14 tiles from the same stomach biopsy slide, H&E.
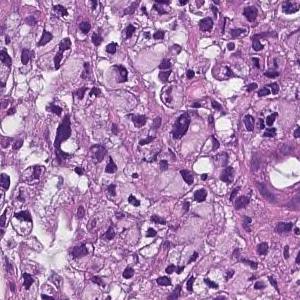
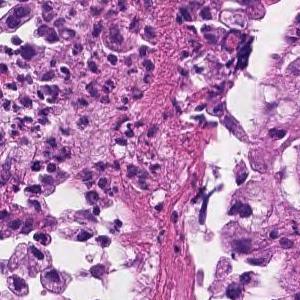
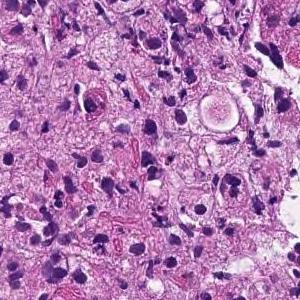
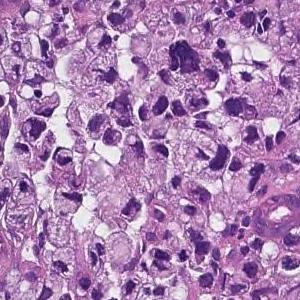
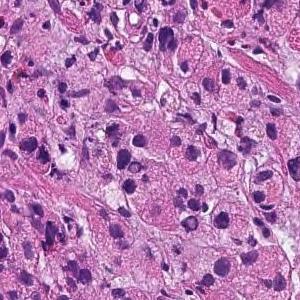
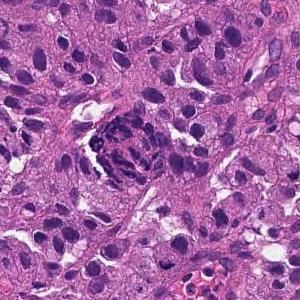
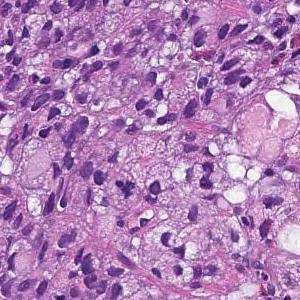
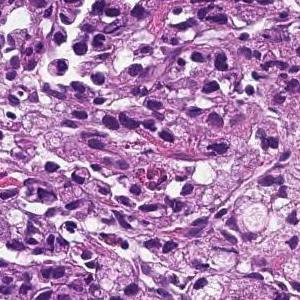
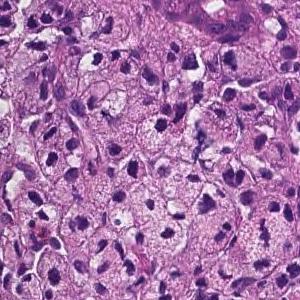
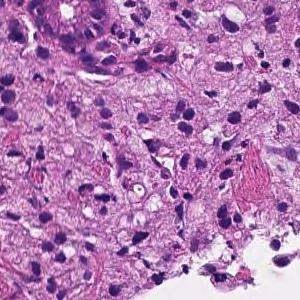
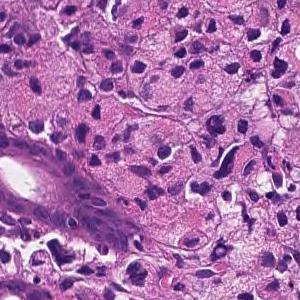
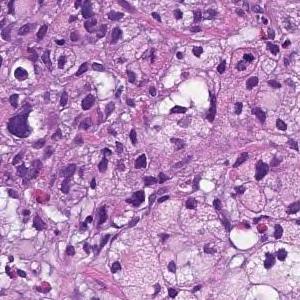
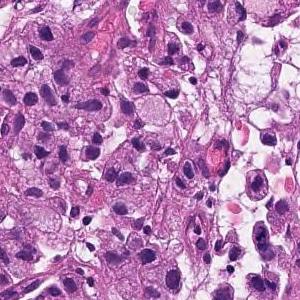
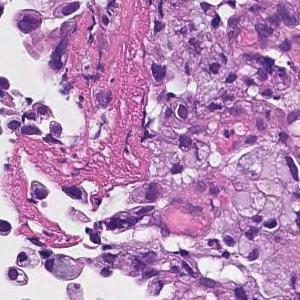
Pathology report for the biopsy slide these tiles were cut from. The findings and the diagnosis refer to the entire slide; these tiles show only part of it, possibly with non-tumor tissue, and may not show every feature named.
In the lamina propria, a tumor tissue consisting of signet ring cell type atypical epithelial cells infiltrating is observed. Signet ring cell carcinoma.
